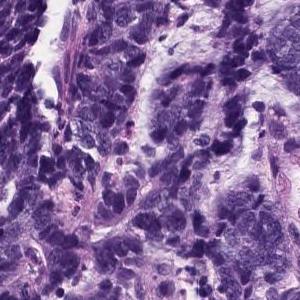
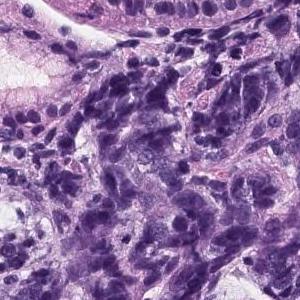
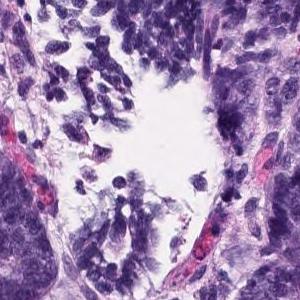
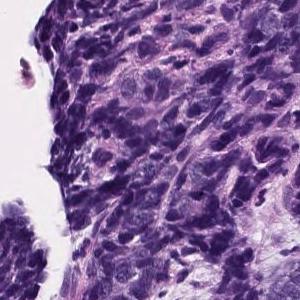
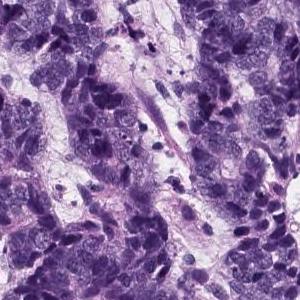
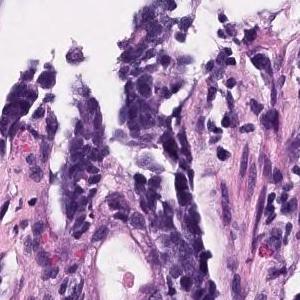
6 tiles from the same stomach biopsy slide; 300 × 300 pixels each; H&E stain.
Diagnostic report for the slide these tiles come from. Both the report and the diagnosis are for the whole slide: these tiles need not show every feature named, and some of the tissue shown may not be tumor.
Group 5, Adenocarcinoma. Moderately to poorly differentiated adenocarcinoma
